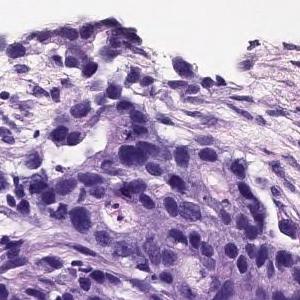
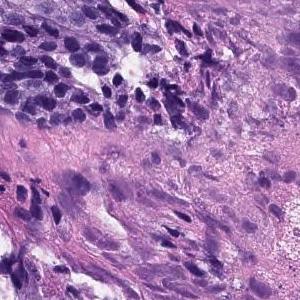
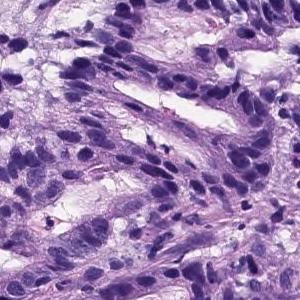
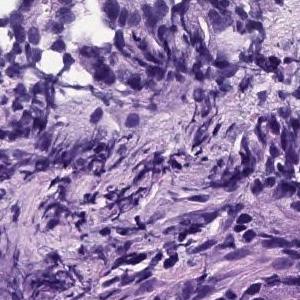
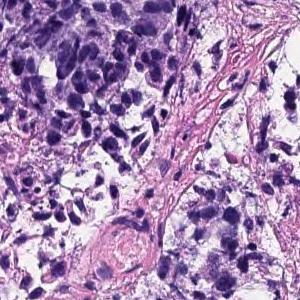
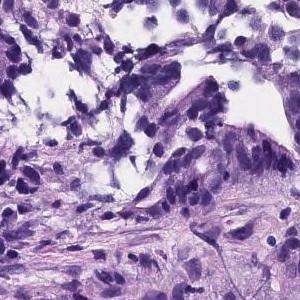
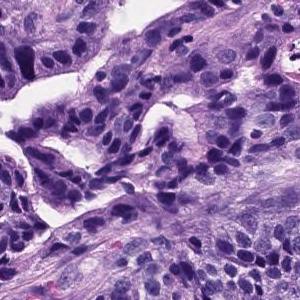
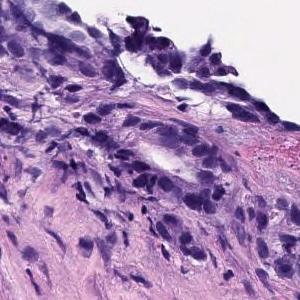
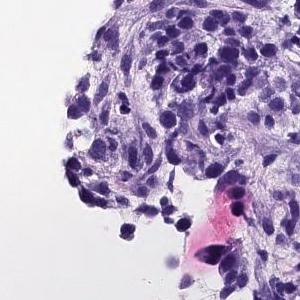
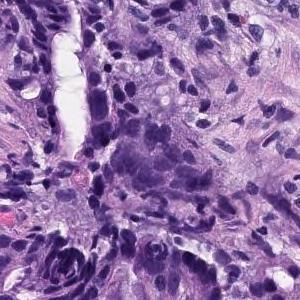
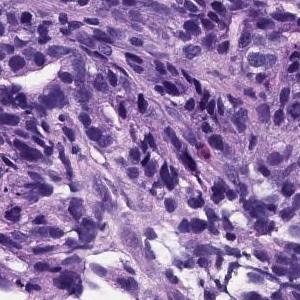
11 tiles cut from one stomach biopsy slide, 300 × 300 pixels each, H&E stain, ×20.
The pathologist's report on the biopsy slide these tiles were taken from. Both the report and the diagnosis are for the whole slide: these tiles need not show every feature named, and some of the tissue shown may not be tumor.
In the superficial epithelium, tumor tissue that invades by forming medium-sized to small, irregular ducts is observed. Tumor cells are columnar or cuboidal in shape. Moderately differentiated adenocarcinoma.
Histologic type: Moderately differentiated tubular adenocarcinoma.
